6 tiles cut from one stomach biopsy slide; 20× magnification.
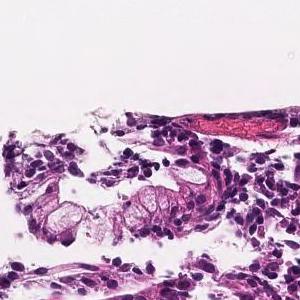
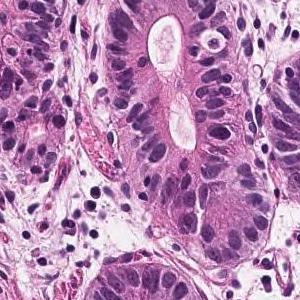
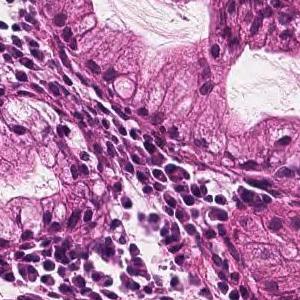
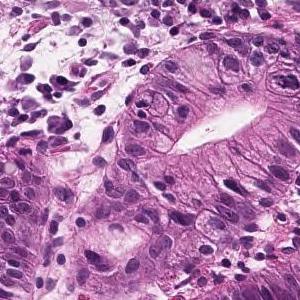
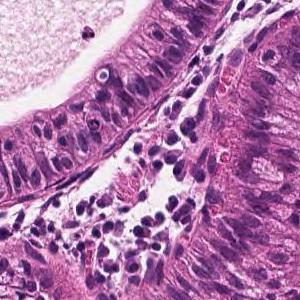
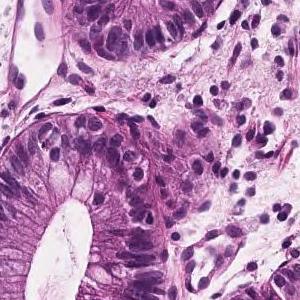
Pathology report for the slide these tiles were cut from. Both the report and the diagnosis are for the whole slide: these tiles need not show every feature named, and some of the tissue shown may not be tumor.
In the superficial epithelium, tumor tissue that invades by forming medium-sized to small, irregular ducts is observed. Well differentiated tubular adenocarcinoma.
